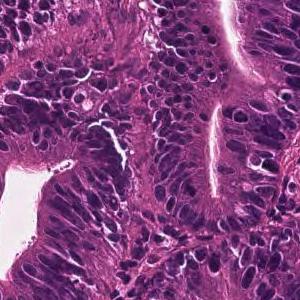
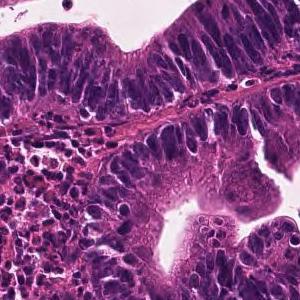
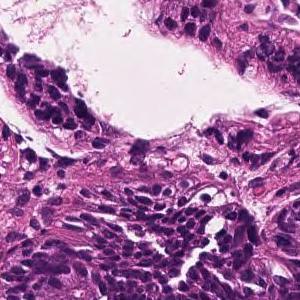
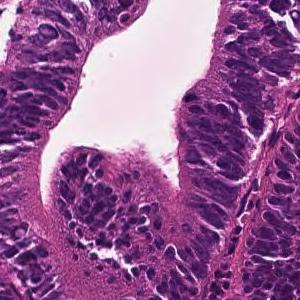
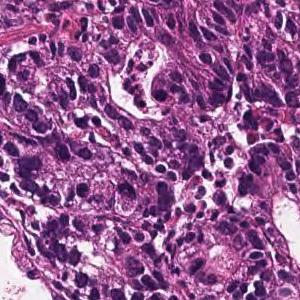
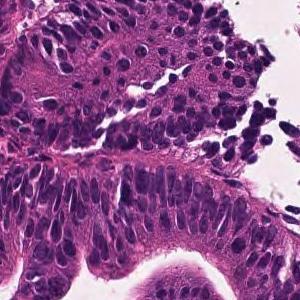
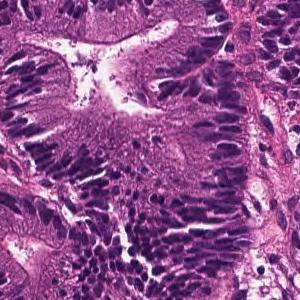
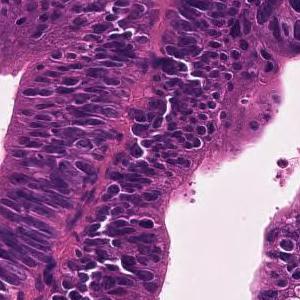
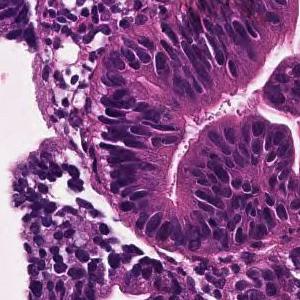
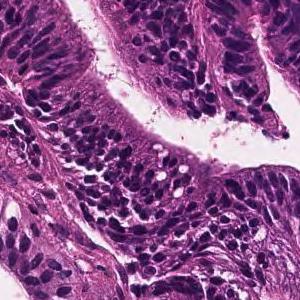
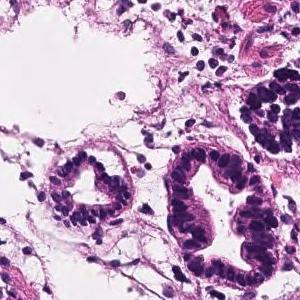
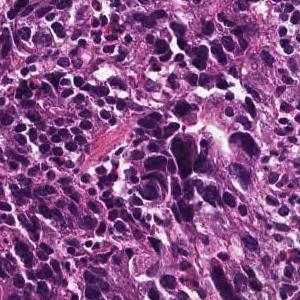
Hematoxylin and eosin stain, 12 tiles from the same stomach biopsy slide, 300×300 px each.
Pathology report for the slide these tiles were cut from. Both the report and the diagnosis are for the whole slide: these tiles need not show every feature named, and some of the tissue shown may not be tumor.
A large irregular tubular structure is exhibited in the epithelium, and tumor tissue that partially fuses and infiltrates and proliferates is observed. Large columnar tumor cells exhibit enlarged nucleus, hyperchromatism, and mitotic figures. Well differentiated tubular adenocarcinoma
